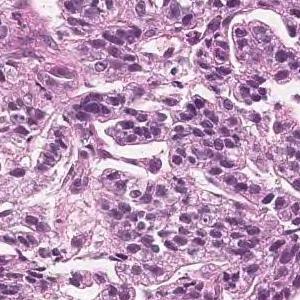
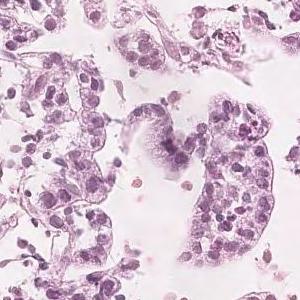
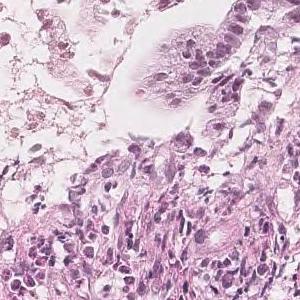
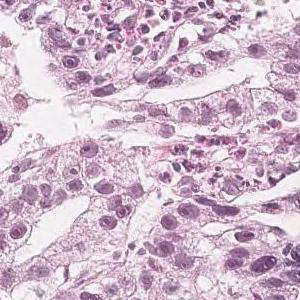
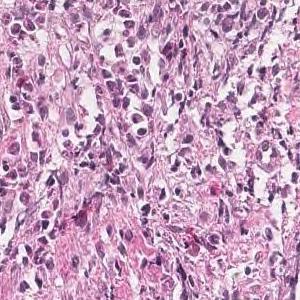
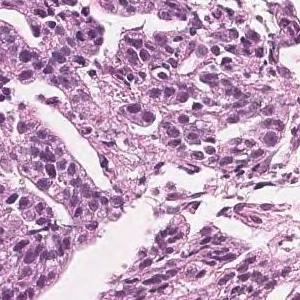
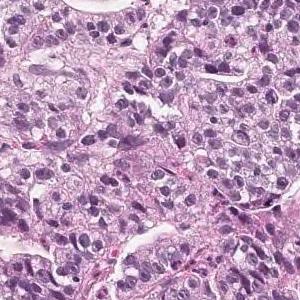
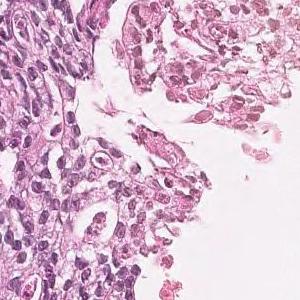
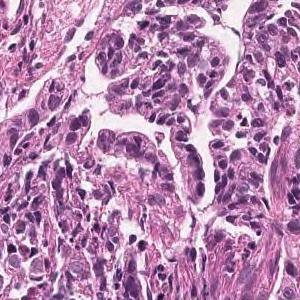
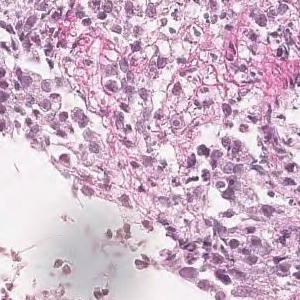
H&E stain, 10 tiles cut from one stomach biopsy slide, each 300 × 300 pixels.
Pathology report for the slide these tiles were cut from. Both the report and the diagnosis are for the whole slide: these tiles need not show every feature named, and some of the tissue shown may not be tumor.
Tumor tissue in which highly columnar atypical epithelial cells with nuclear enlargement and increased nuclear chromatin show papillary to papillary ductal structure and proliferate is observed. Papillary adenocarcinoma.
